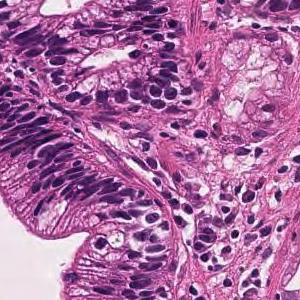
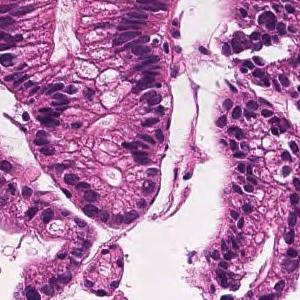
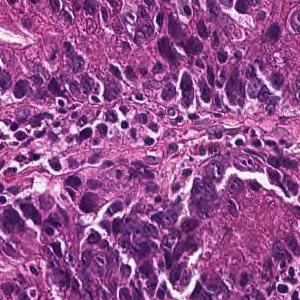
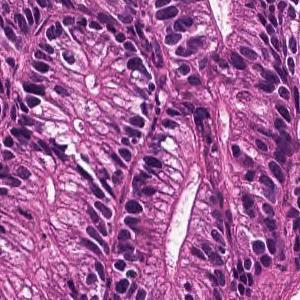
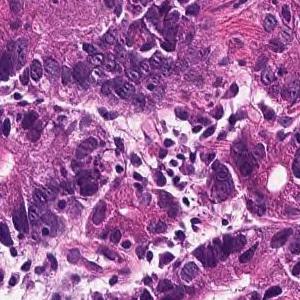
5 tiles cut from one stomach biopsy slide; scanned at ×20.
The pathologist's report on the biopsy slide these tiles were taken from. The findings and the diagnosis refer to the entire slide; these tiles show only part of it, possibly with non-tumor tissue, and may not show every feature named.
In the superficial epithelium, tumor tissue that invades by forming medium-sized to small, irregular ducts is observed. moderately differentiated tubular adenocarcinoma.
